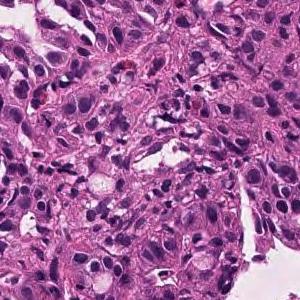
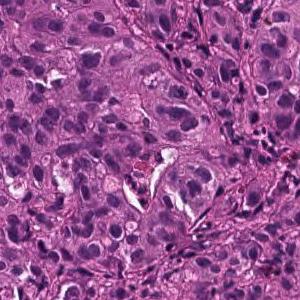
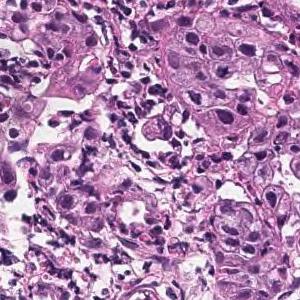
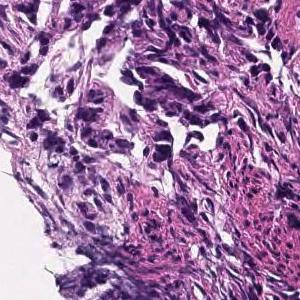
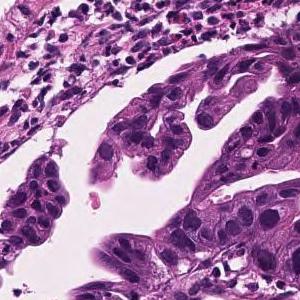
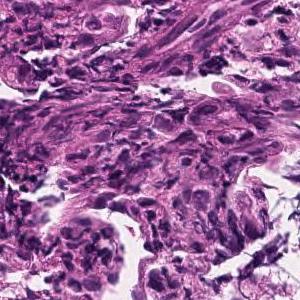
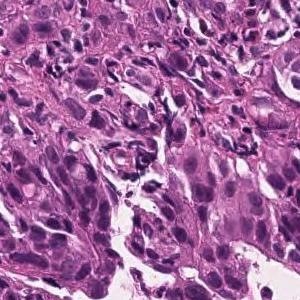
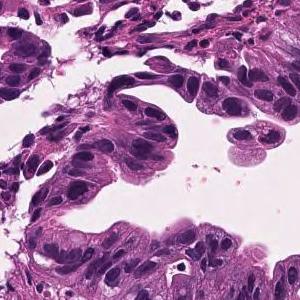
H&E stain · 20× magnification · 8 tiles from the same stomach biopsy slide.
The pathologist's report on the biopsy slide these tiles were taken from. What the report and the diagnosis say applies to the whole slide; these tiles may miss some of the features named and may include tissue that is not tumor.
Tumor tissue consisting of medium-sized, cord-like or irregular glandular infiltration is observed in the superficial epithelium. Poorly differentiated adenocarcinoma, non-solid type or moderately differentiated tubular adenocarcinoma
The term "non-solid type" comes from the Japanese Classification of Gastric Carcinoma.
